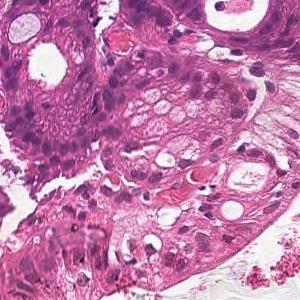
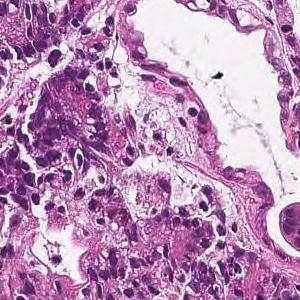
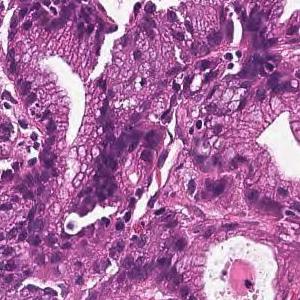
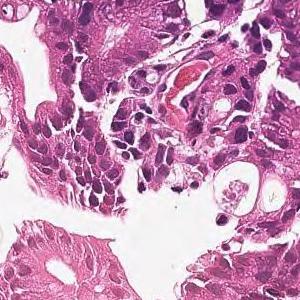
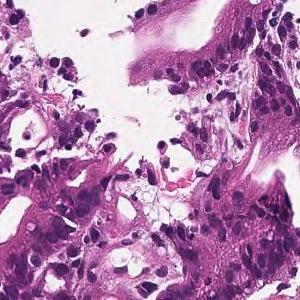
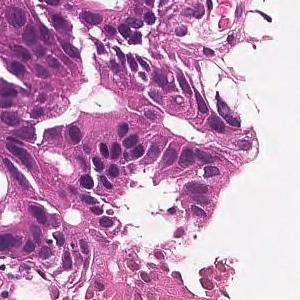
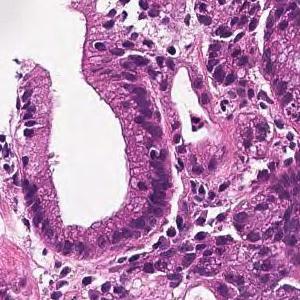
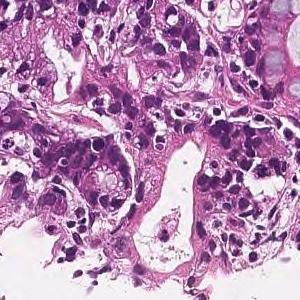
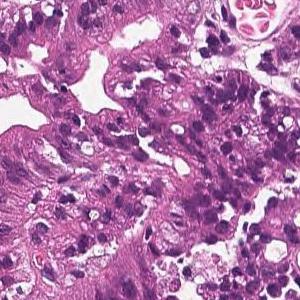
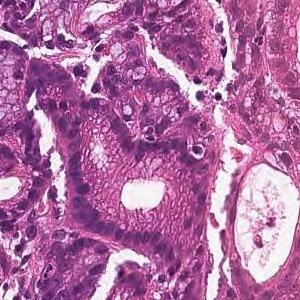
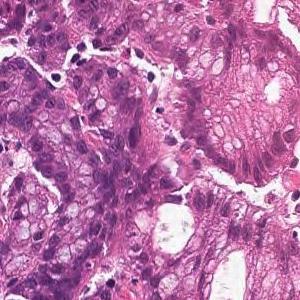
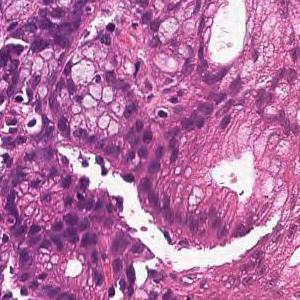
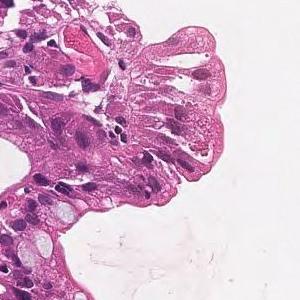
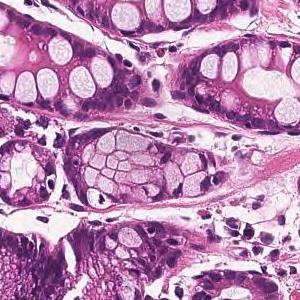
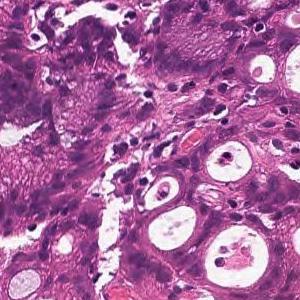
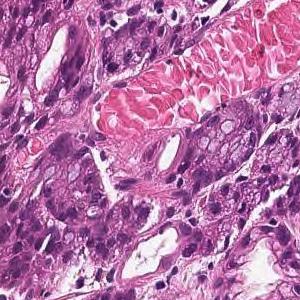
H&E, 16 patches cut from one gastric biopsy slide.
The pathologist's report on the biopsy slide these tiles were taken from. The findings and the diagnosis refer to the entire slide; these tiles show only part of it, possibly with non-tumor tissue, and may not show every feature named.
In the superficial epithelium, tumor tissue that invades by forming medium-sized to small, irregular ducts is observed. moderately differentiated tubular adenocarcinoma.
